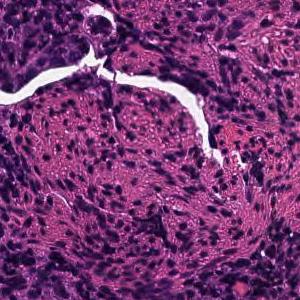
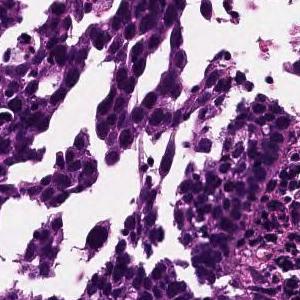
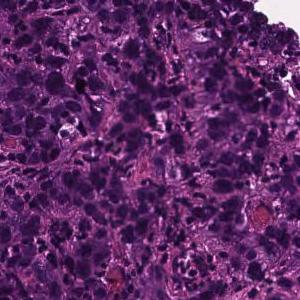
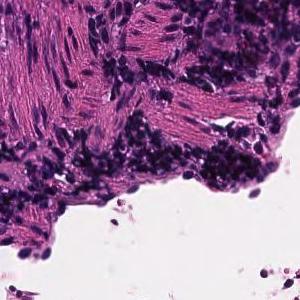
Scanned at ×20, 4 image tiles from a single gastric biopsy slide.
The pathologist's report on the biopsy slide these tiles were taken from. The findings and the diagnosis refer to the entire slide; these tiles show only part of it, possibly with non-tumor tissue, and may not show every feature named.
Tumor tissue consisting of cord-like or small, irregular glandular ducts fused and infiltrated is observed in the superficial epithelium. Poorly differentiated adenocarcinoma, non-solid type
The term "non-solid type" comes from the Japanese Classification of Gastric Carcinoma.
